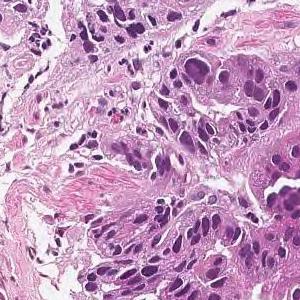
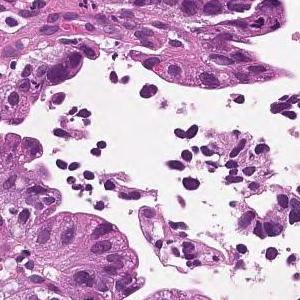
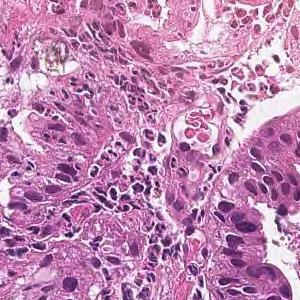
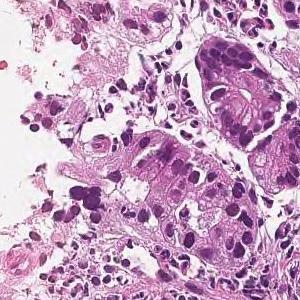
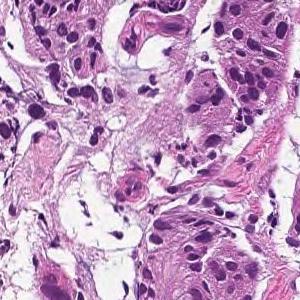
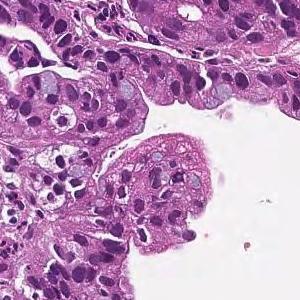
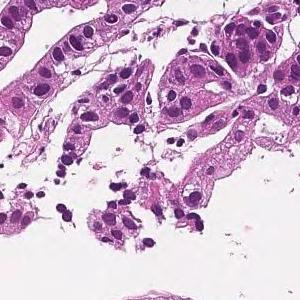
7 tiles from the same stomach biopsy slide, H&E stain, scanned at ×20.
Pathology report for the slide these tiles were cut from. Both the report and the diagnosis are for the whole slide: these tiles need not show every feature named, and some of the tissue shown may not be tumor.
On the superficial epithelium, tumor tissue that infiltrates by forming medium-sized papillary or small irregular ducts is observed. Papillary adenocarcinoma
